15 patches cut from one gastric biopsy slide, H&E stain.
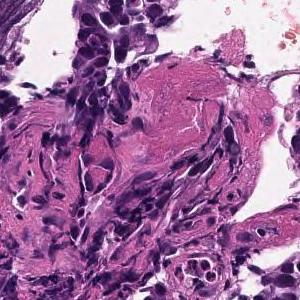
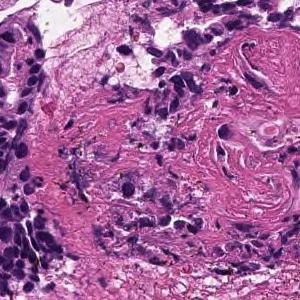
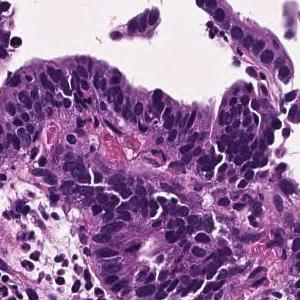
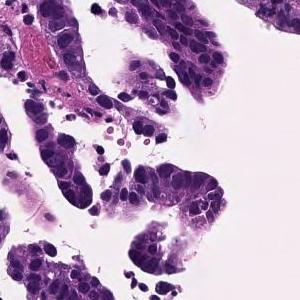
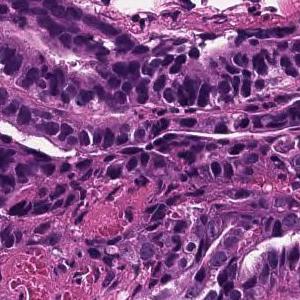
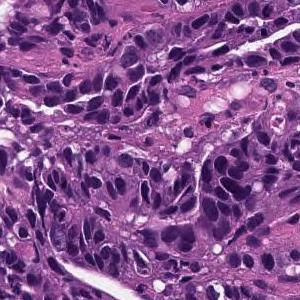
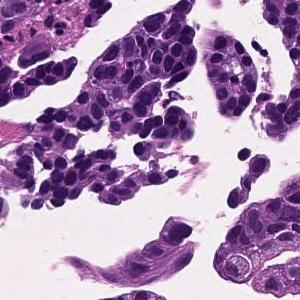
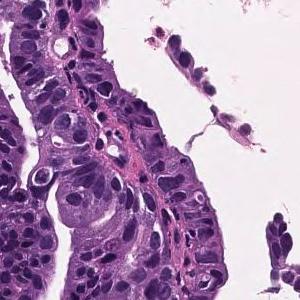
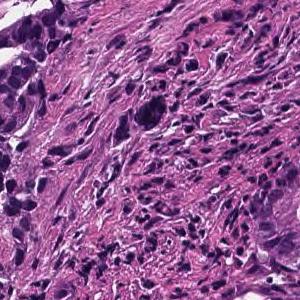
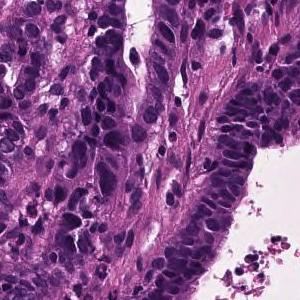
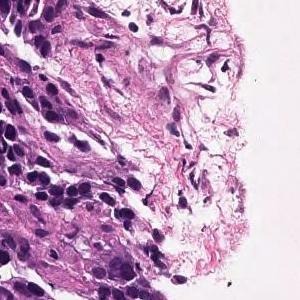
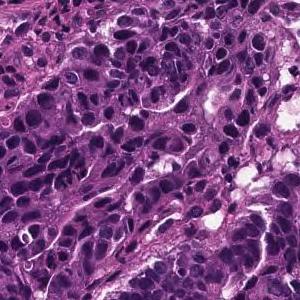
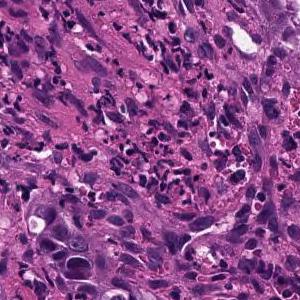
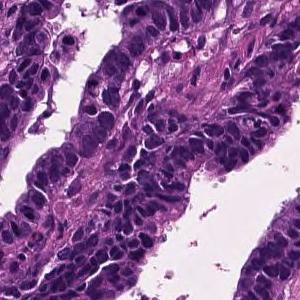
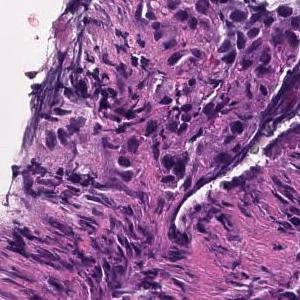
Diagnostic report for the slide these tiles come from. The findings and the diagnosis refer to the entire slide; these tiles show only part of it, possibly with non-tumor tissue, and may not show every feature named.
Tumor cells are large, highly columnar, large club-shaped nuclei, and are associated with chromatin aggregation. Papillary adenocarcinoma.
